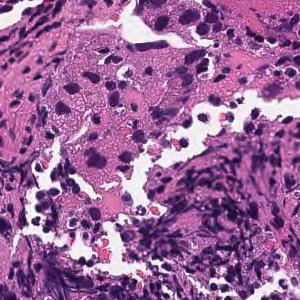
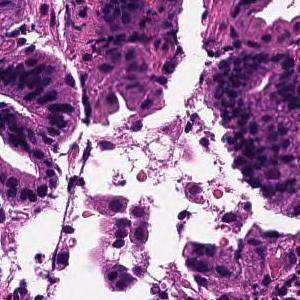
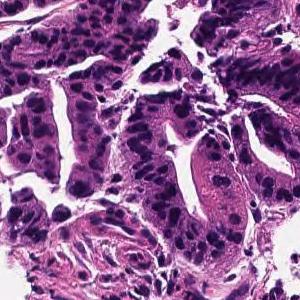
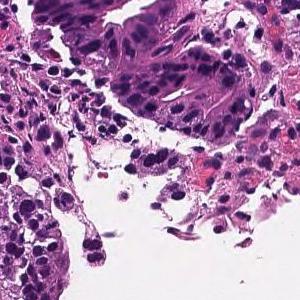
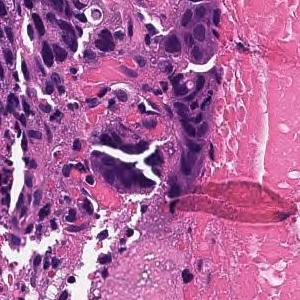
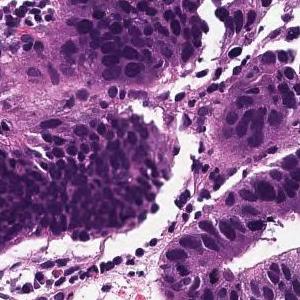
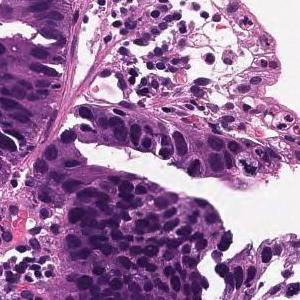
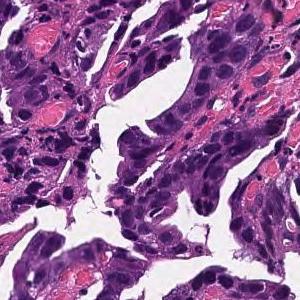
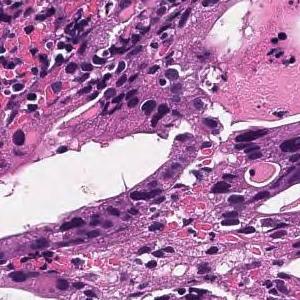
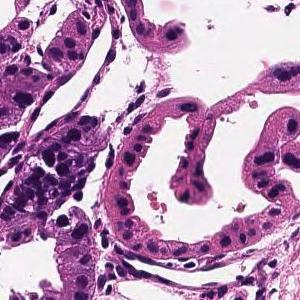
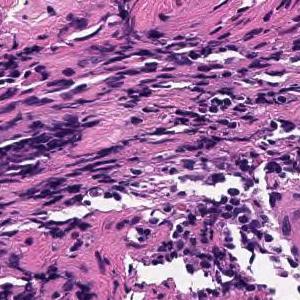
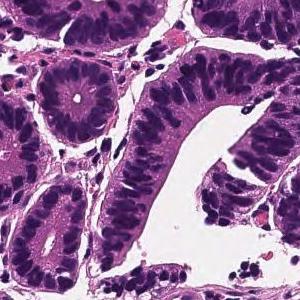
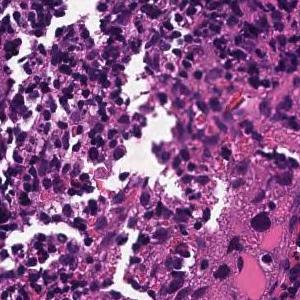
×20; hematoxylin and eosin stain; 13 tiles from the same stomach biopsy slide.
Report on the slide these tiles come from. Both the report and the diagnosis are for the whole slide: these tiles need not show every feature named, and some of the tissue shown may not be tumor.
Tumor cells are large, highly columnar, large club-shaped nuclei, and are associated with chromatin aggregation. Papillary adenocarcinoma.
